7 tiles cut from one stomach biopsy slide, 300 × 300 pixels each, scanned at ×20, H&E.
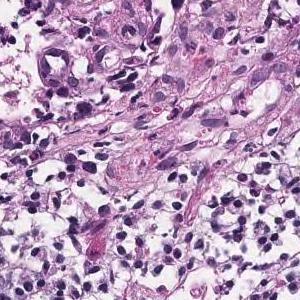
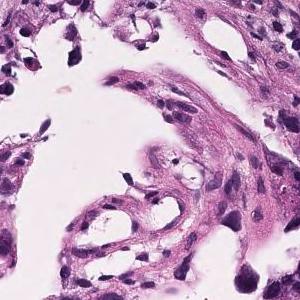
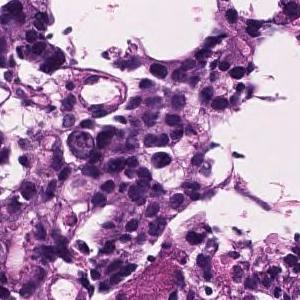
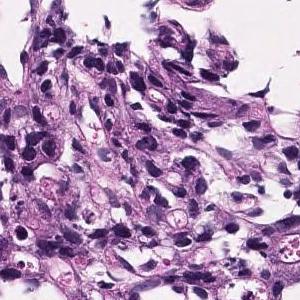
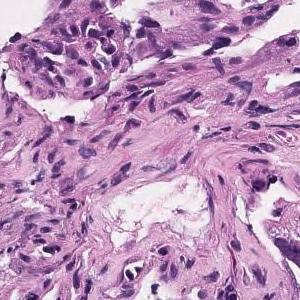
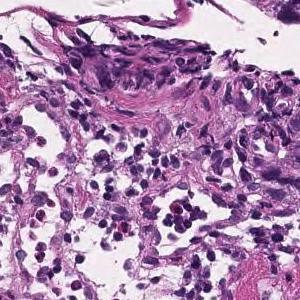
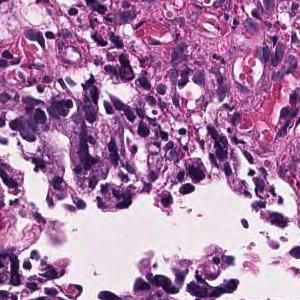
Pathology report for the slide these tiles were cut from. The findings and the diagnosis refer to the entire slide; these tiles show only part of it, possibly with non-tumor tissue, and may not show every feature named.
Tumor tissue consisting of medium-sized, cord-like or irregular glandular infiltration is observed in the superficial epithelium. Poorly differentiated adenocarcinoma, non-solid type or moderately differentiated tubular adenocarcinoma
The non-solid type named here is a Japanese Classification of Gastric Carcinoma category.
